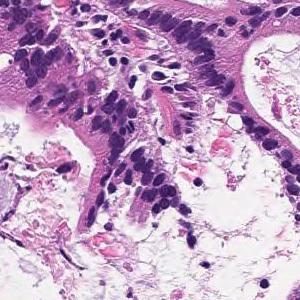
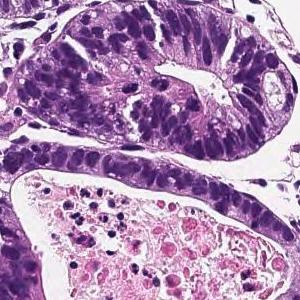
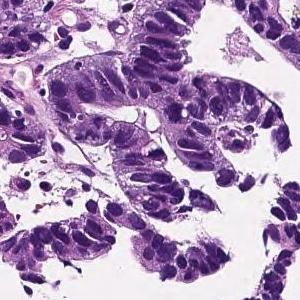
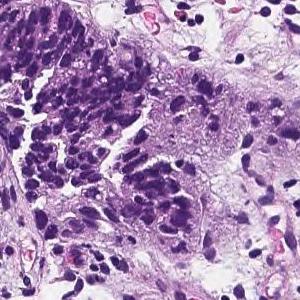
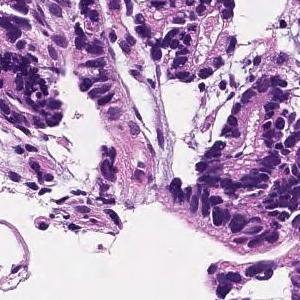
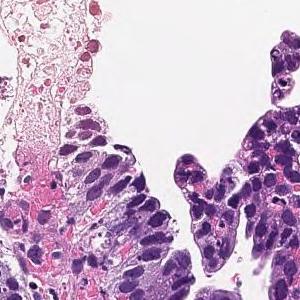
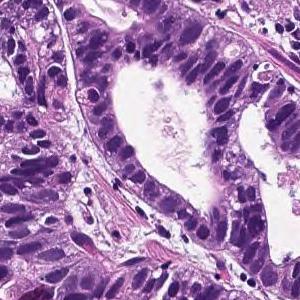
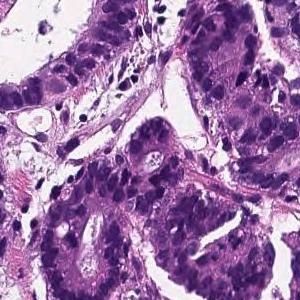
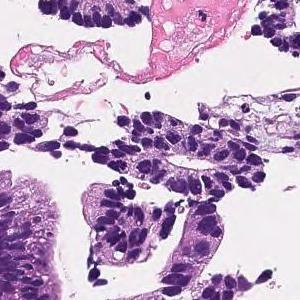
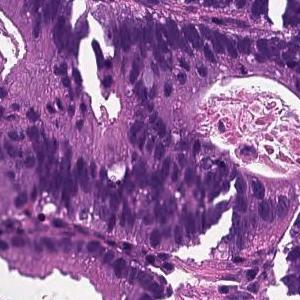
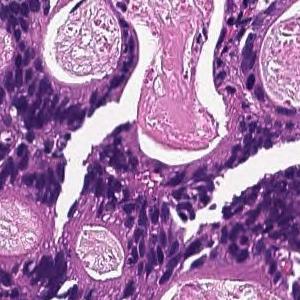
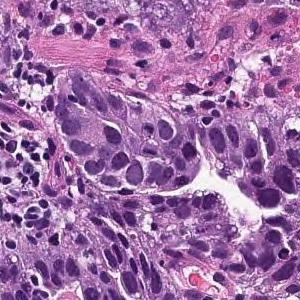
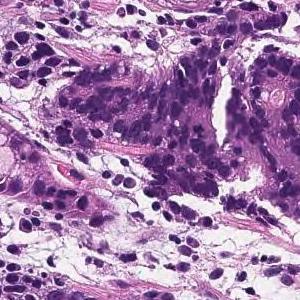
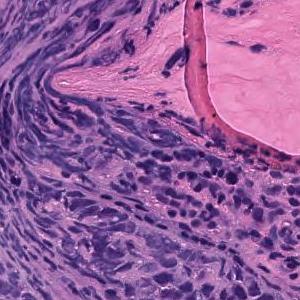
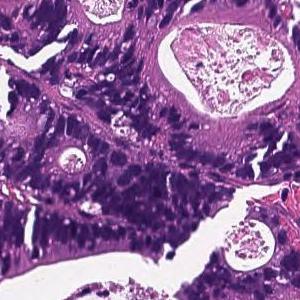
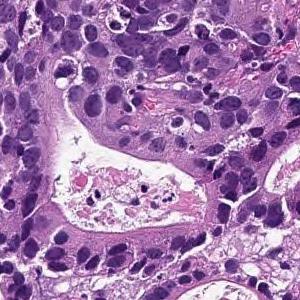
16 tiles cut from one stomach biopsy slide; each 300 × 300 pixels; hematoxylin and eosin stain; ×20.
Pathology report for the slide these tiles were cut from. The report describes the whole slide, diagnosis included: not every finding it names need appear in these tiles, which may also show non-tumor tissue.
In the superficial epithelium, tumor tissue that invades by forming medium-sized to small, irregular ducts is observed. moderately differentiated tubular adenocarcinoma.
